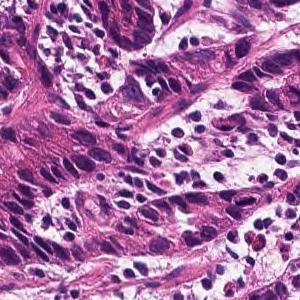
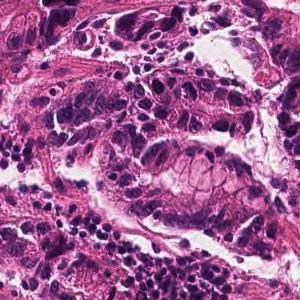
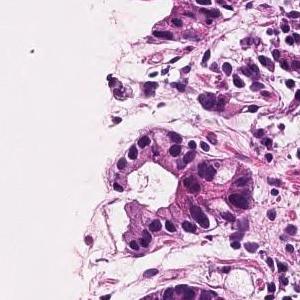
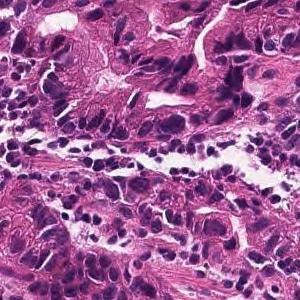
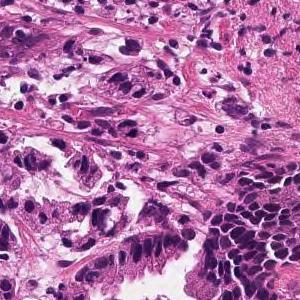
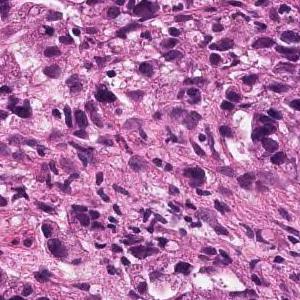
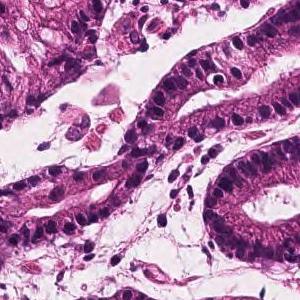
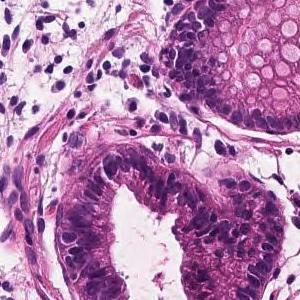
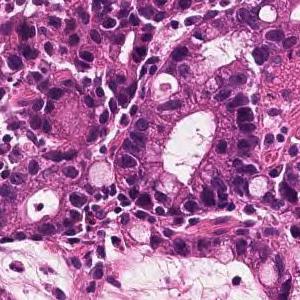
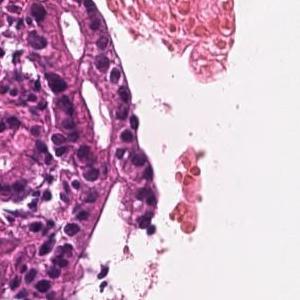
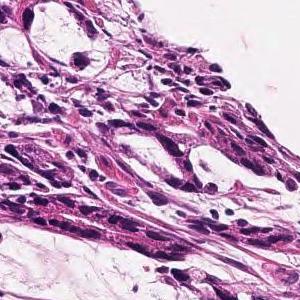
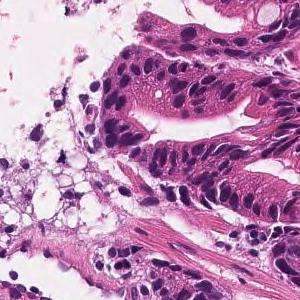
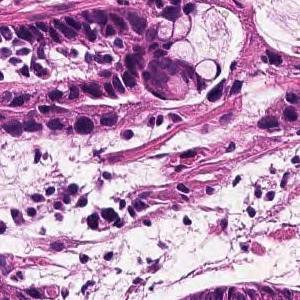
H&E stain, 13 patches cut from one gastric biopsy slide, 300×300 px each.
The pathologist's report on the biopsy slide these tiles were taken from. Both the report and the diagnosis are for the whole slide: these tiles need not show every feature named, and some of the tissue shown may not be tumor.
In the superficial epithelium, tumor tissue that invades by forming medium-sized to small, irregular ducts is observed. moderately differentiated tubular adenocarcinoma.
